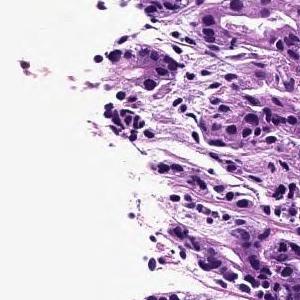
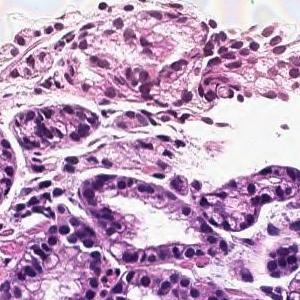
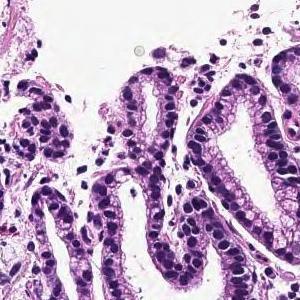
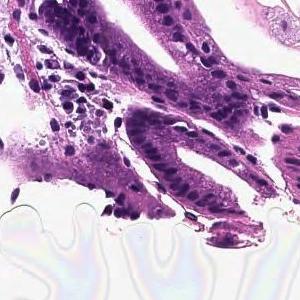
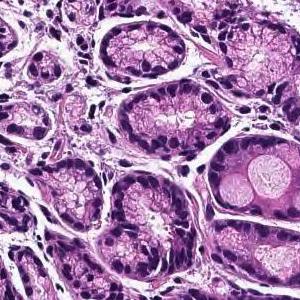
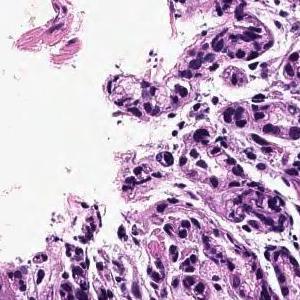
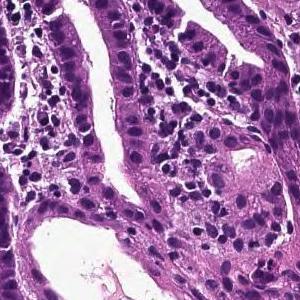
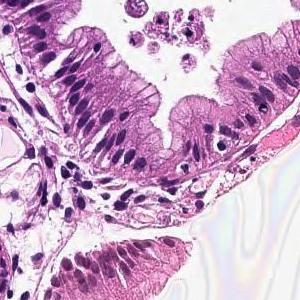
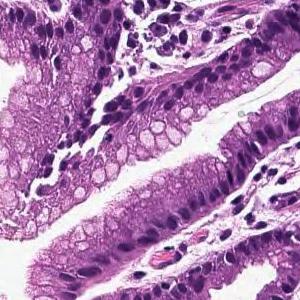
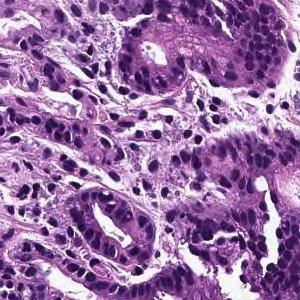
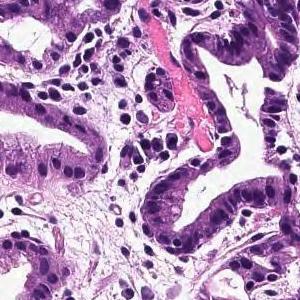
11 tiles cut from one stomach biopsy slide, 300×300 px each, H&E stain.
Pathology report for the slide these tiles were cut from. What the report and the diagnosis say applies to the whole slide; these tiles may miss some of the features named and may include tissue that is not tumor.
In the superficial epithelium, tumor tissue that invades by forming medium-sized to small, irregular ducts is observed. moderately differentiated tubular adenocarcinoma.
